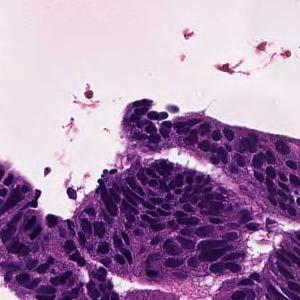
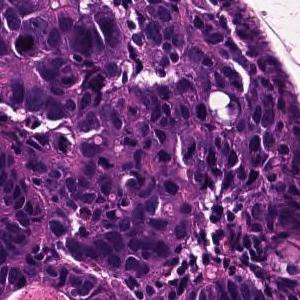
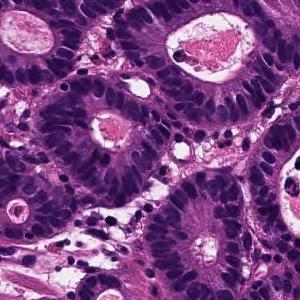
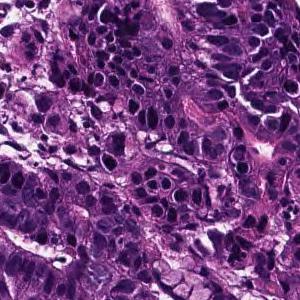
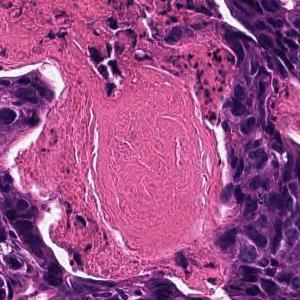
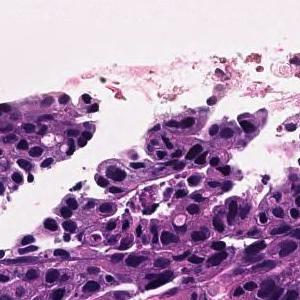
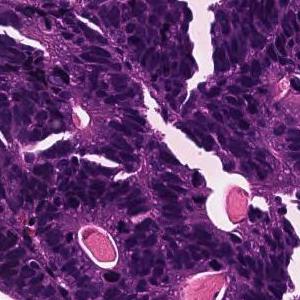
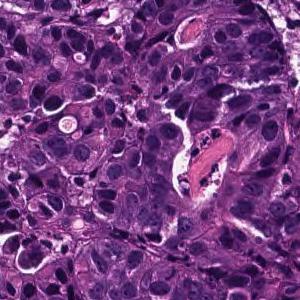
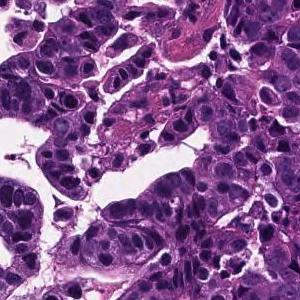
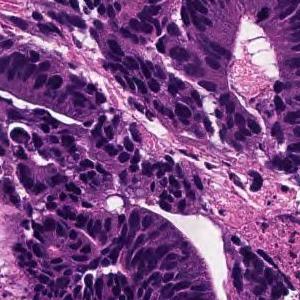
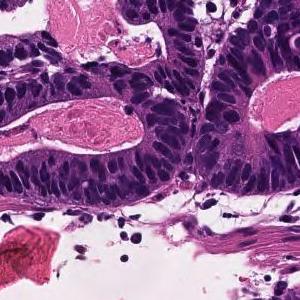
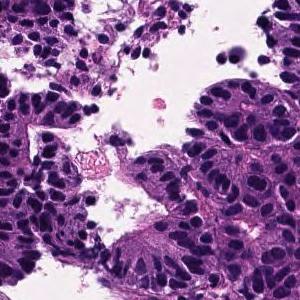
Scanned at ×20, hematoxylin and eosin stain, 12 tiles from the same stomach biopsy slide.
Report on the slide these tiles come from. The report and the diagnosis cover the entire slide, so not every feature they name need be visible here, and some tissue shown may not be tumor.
In the superficial epithelium, tumor tissue that invades by forming medium-sized to small, irregular ducts is observed. moderately differentiated tubular adenocarcinoma.
